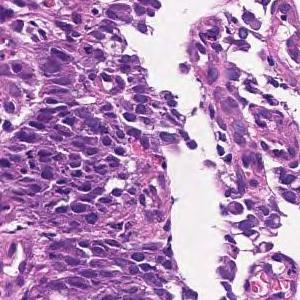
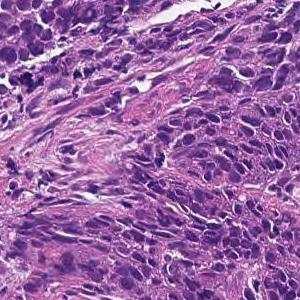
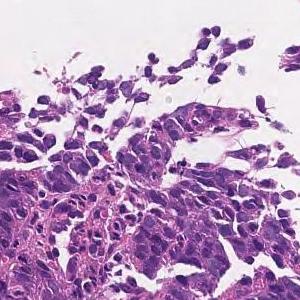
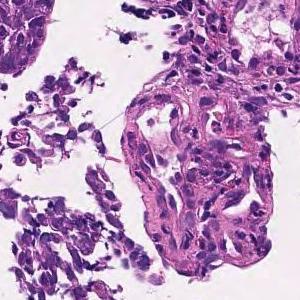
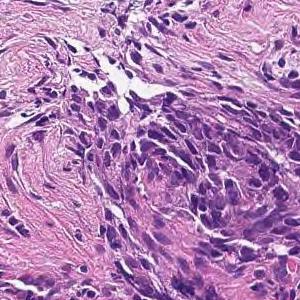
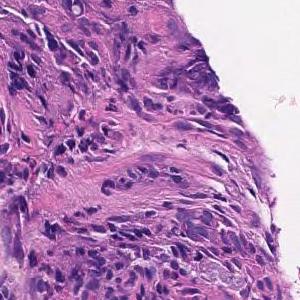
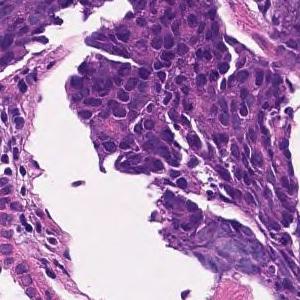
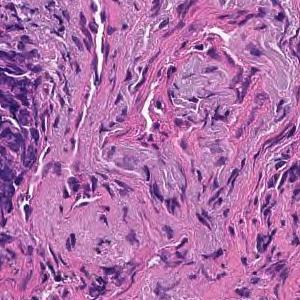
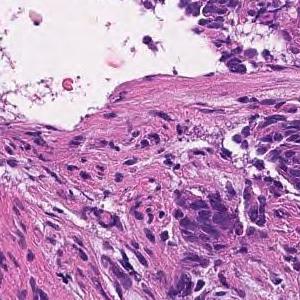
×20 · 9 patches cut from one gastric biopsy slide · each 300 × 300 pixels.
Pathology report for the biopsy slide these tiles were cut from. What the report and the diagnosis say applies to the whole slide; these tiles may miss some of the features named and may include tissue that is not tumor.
Tumor tissue consisting of cord-like or small, irregular glandular ducts fused and infiltrated is observed in the superficial epithelium. Poorly differentiated adenocarcinoma, non-solid type
The term "non-solid type" comes from the Japanese Classification of Gastric Carcinoma.
